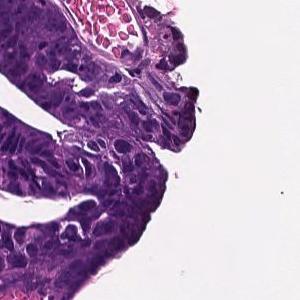
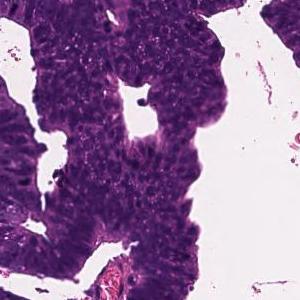
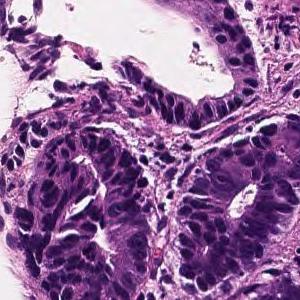
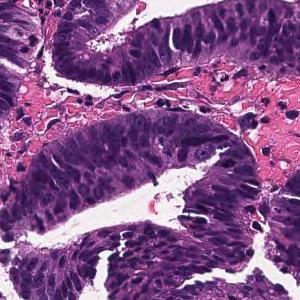
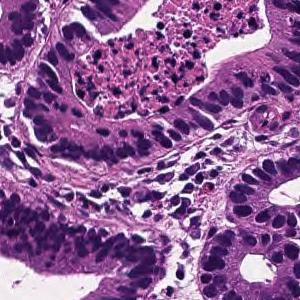
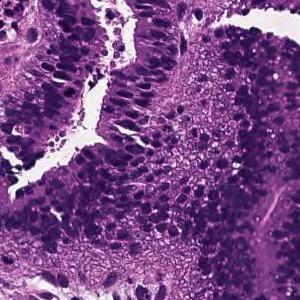
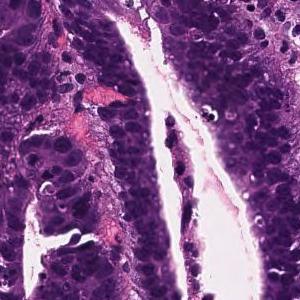
Scanned at ×20, 7 tiles from the same stomach biopsy slide.
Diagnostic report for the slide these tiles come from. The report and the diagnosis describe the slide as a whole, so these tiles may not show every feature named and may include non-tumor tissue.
Tumor tissue consisting of large papillary structures is found in the superficial epithelium. Papillary adenocarcinoma.
